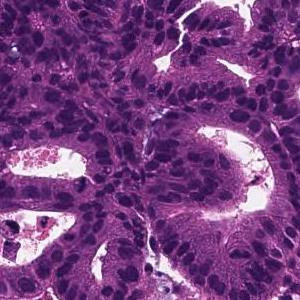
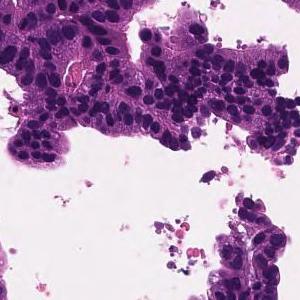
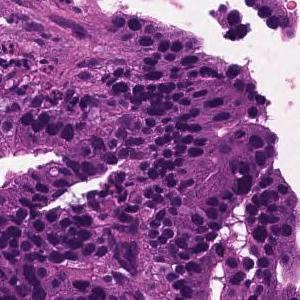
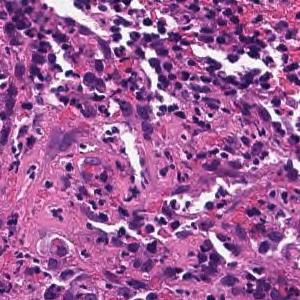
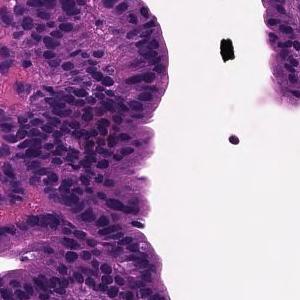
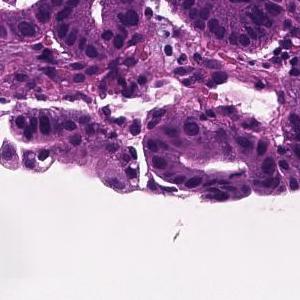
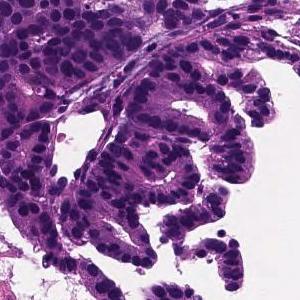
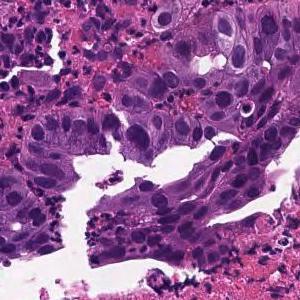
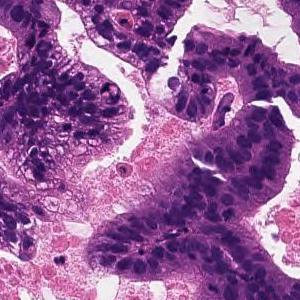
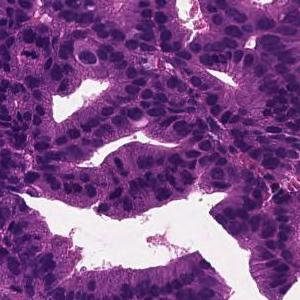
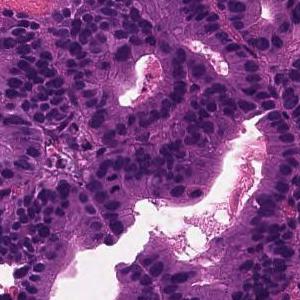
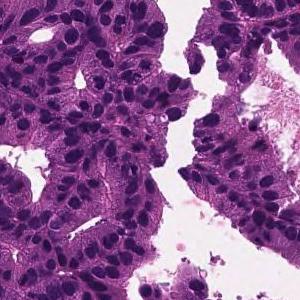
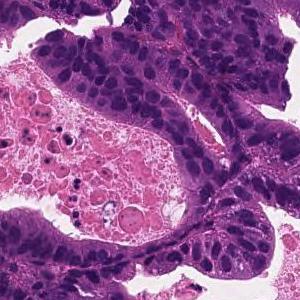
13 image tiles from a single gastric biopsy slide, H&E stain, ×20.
Diagnostic report for the slide these tiles come from. Both the report and the diagnosis are for the whole slide: these tiles need not show every feature named, and some of the tissue shown may not be tumor.
Tumor cells are large, highly columnar, large club-shaped nuclei, and are associated with chromatin aggregation. Papillary adenocarcinoma.
